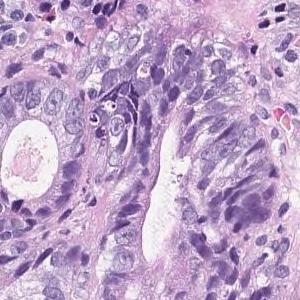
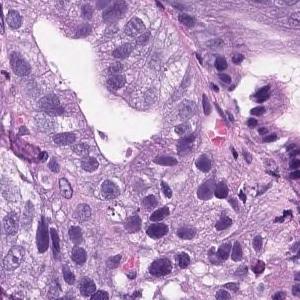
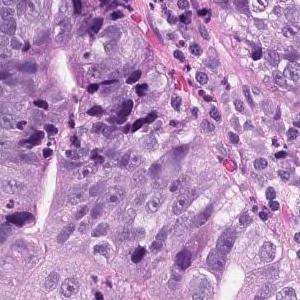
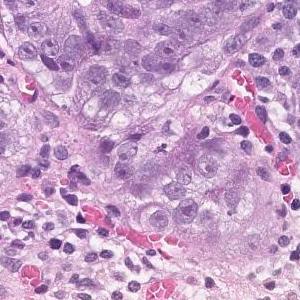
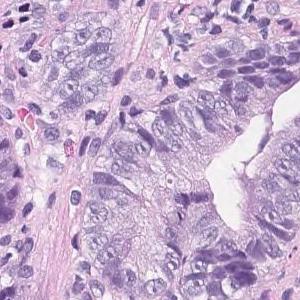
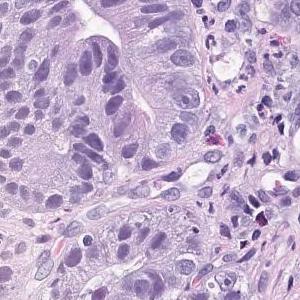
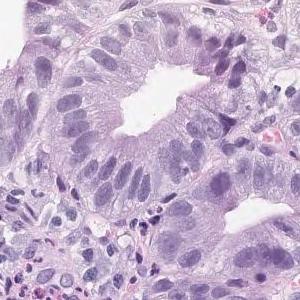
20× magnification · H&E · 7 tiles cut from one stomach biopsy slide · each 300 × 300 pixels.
Diagnostic report for the slide these tiles come from. What the report and the diagnosis say applies to the whole slide; these tiles may miss some of the features named and may include tissue that is not tumor.
On the superficial epithelium, tumor tissue consisting of medium to small irregular tubules partially fused and proliferated is observed. moderately differentiated tubular adenocarcinoma
